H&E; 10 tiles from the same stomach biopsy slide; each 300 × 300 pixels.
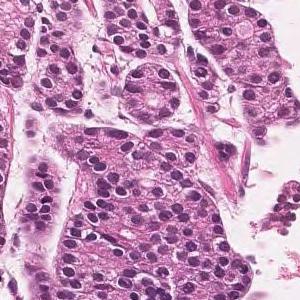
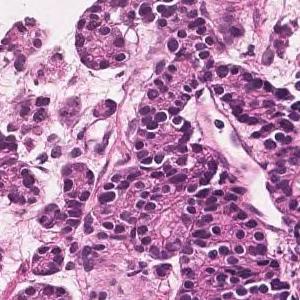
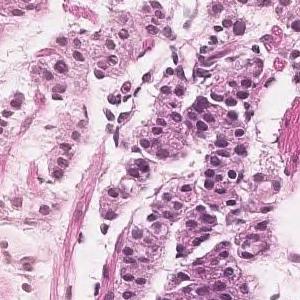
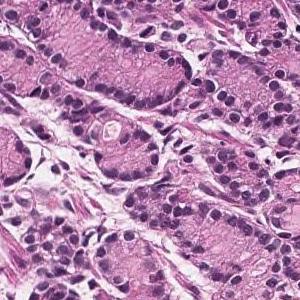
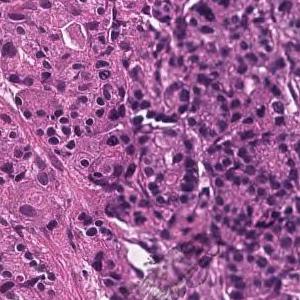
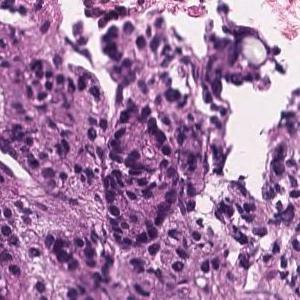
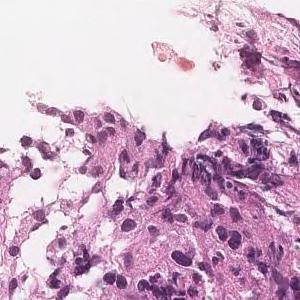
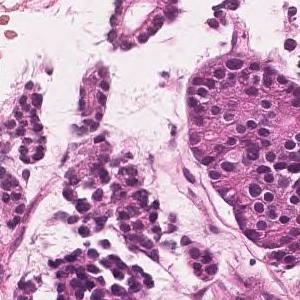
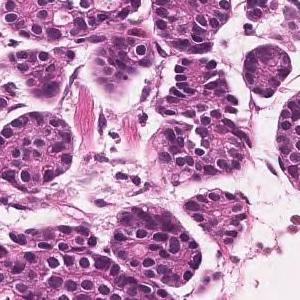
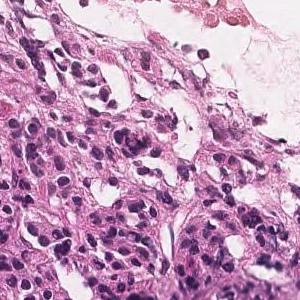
The pathologist's report on the biopsy slide these tiles were taken from. The findings and the diagnosis refer to the entire slide; these tiles show only part of it, possibly with non-tumor tissue, and may not show every feature named.
In the superficial epithelium, tumor tissue that invades by forming medium-sized to small, irregular ducts is observed. Moderately differentiated adenocarcinoma.
Classified as moderately differentiated tubular adenocarcinoma.
